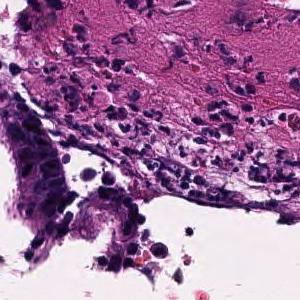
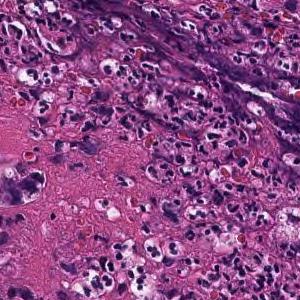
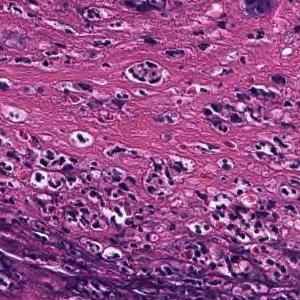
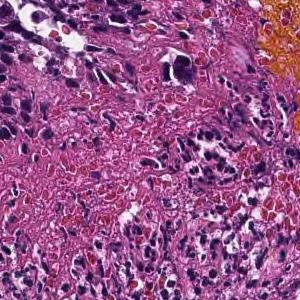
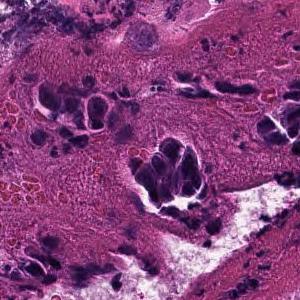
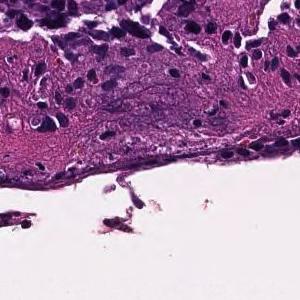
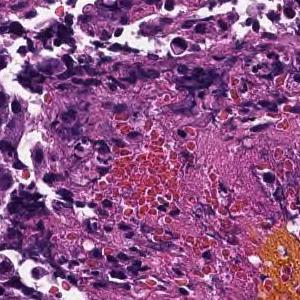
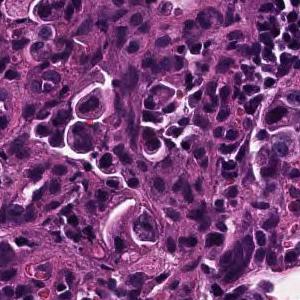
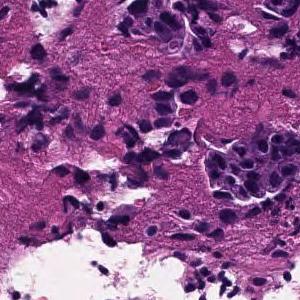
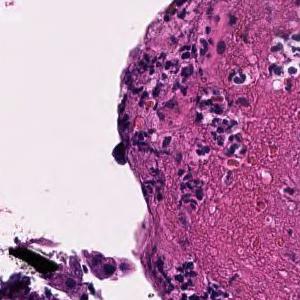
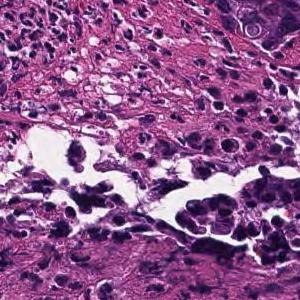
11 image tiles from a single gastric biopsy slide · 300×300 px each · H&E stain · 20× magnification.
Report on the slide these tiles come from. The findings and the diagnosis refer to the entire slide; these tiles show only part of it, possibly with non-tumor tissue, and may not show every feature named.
Tumor tissue consisting of cord-like or small, irregular glandular ducts fused and infiltrated is observed in the superficial epithelium. Poorly differentiated adenocarcinoma, non-solid type
The non-solid type named here is a Japanese Classification of Gastric Carcinoma category.
